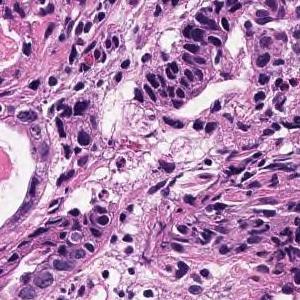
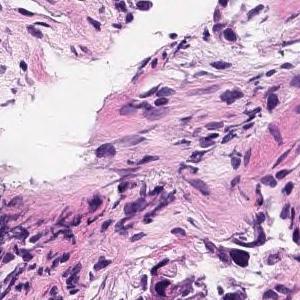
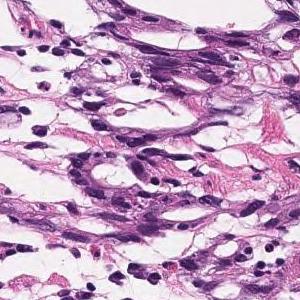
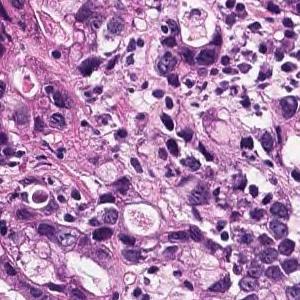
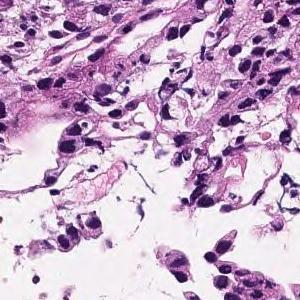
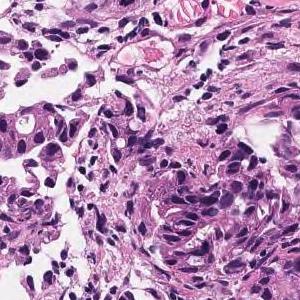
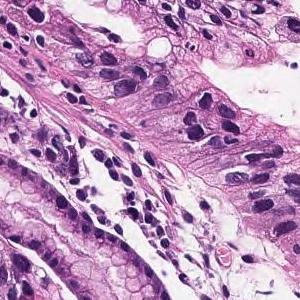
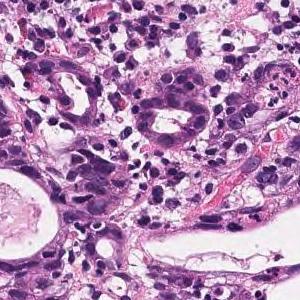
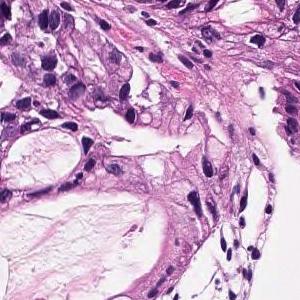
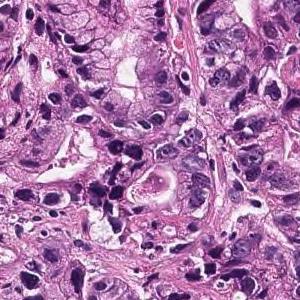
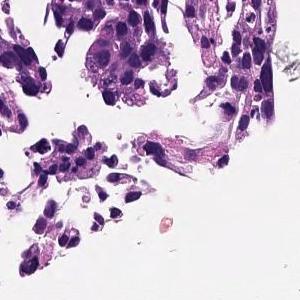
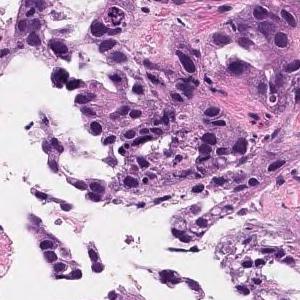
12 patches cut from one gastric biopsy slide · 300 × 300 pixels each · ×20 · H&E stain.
Report on the slide these tiles come from. What the report and the diagnosis say applies to the whole slide; these tiles may miss some of the features named and may include tissue that is not tumor.
In the superficial epithelium, tumor tissue that invades by forming medium-sized to small, irregular ducts is observed. Moderately differentiated adenocarcinoma.
Histological subtype: Moderately differentiated tubular adenocarcinoma.
